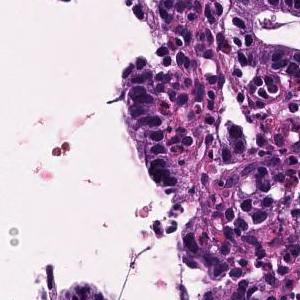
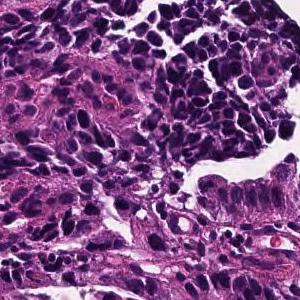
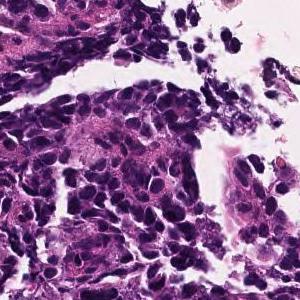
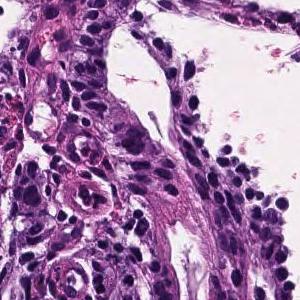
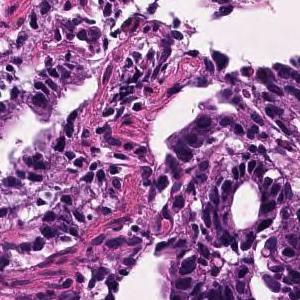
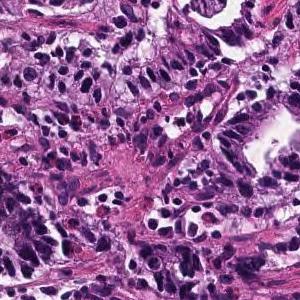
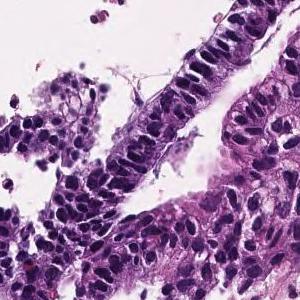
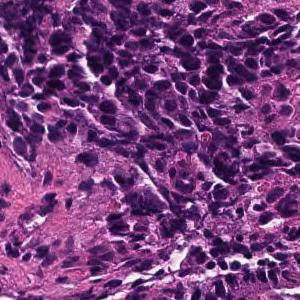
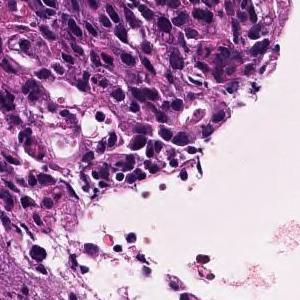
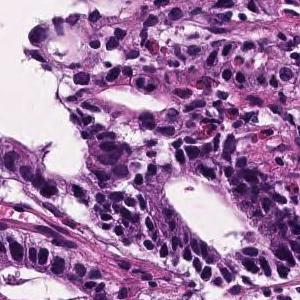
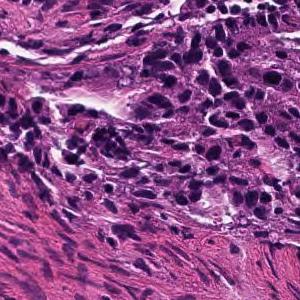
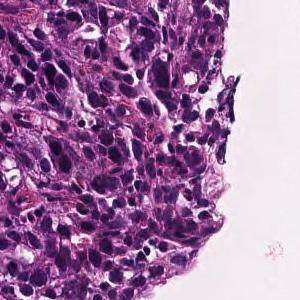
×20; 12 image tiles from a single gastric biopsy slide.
Pathology report for the biopsy slide these tiles were cut from. The report and the diagnosis cover the entire slide, so not every feature they name need be visible here, and some tissue shown may not be tumor.
In the superficial epithelium, tumor tissue that invades by forming medium-sized to small, irregular ducts is observed. moderately differentiated tubular adenocarcinoma.
